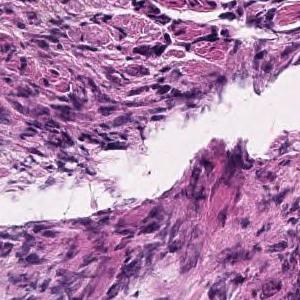
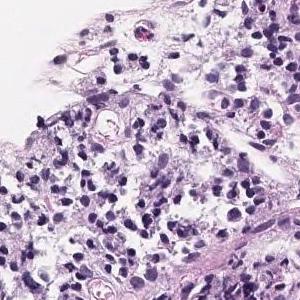
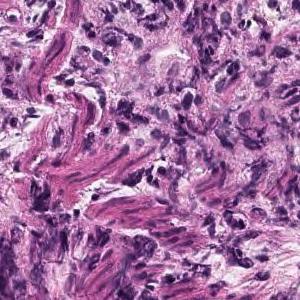
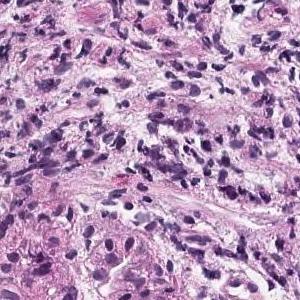
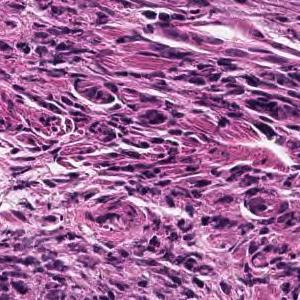
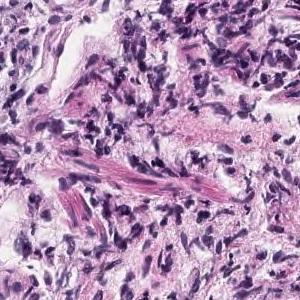
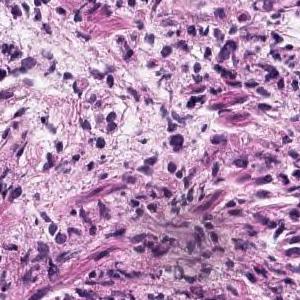
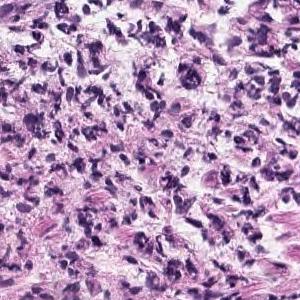
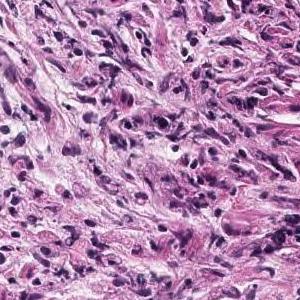
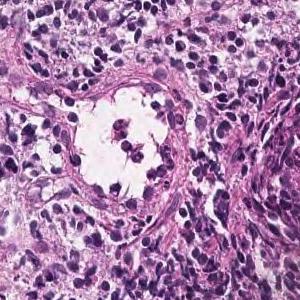
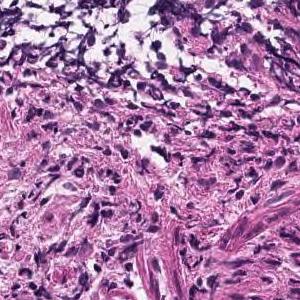
11 tiles cut from one stomach biopsy slide · each 300 × 300 pixels · hematoxylin and eosin stain.
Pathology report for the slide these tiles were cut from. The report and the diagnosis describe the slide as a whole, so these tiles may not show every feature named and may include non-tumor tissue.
In the lamina propria, a tumor tissue consisting of signet ring cell type atypical epithelial cells infiltrating is observed. Signet ring cell carcinoma.
